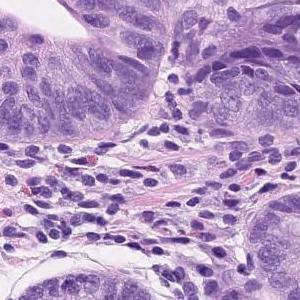
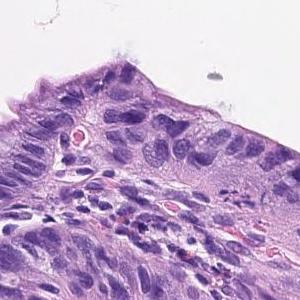
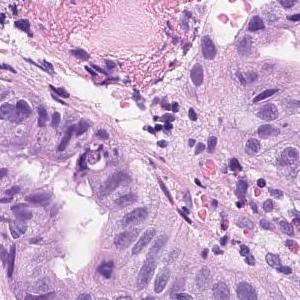
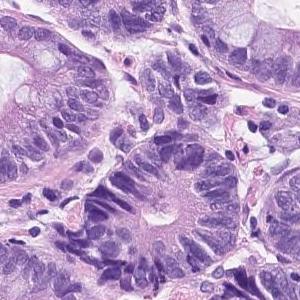
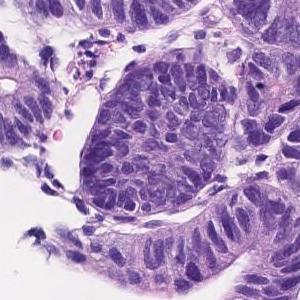
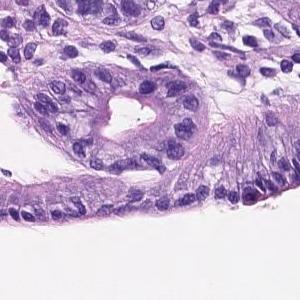
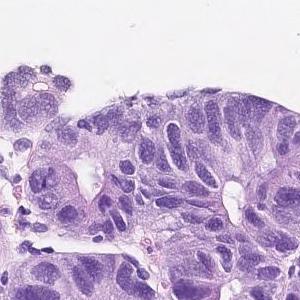
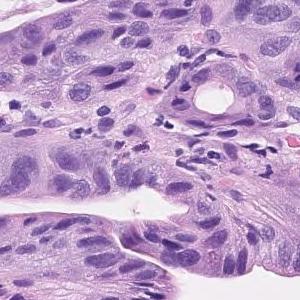
Scanned at ×20; H&E stain; 8 tiles from the same stomach biopsy slide; 300 × 300 pixels each.
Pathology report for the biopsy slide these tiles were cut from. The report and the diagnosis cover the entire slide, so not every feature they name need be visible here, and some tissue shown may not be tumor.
Tumor tissue consisting of medium-sized and irregular ducts is observed infiltrating in the superficial epithelium. Tumor cells are highly columnar, with nuclei aligned basolaterally and polarized. Well differentiated tubular adenocarcinoma.
